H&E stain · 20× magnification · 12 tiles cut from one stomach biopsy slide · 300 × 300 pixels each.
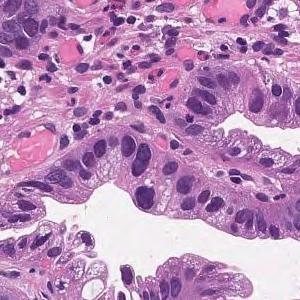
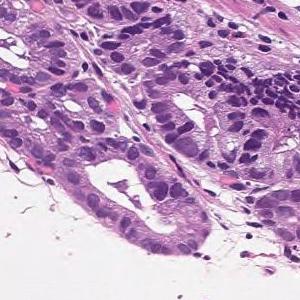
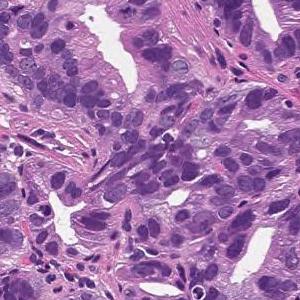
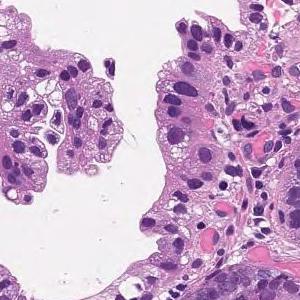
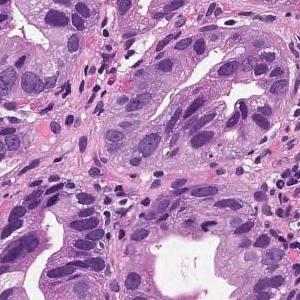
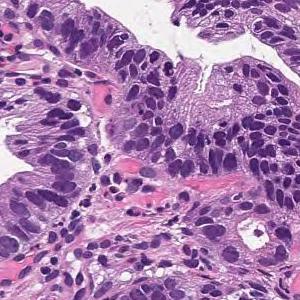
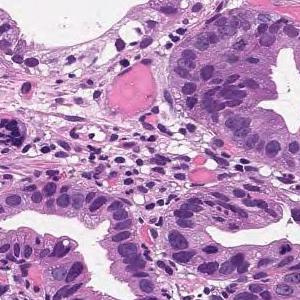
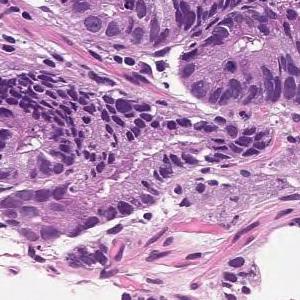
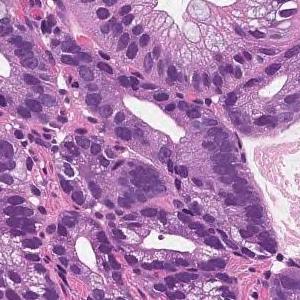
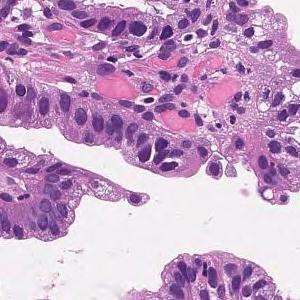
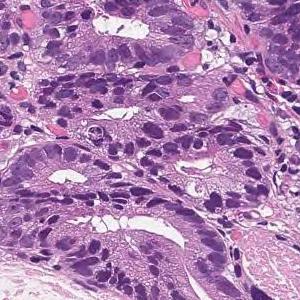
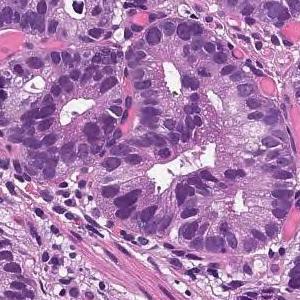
Pathology report for the biopsy slide these tiles were cut from. Both the report and the diagnosis are for the whole slide: these tiles need not show every feature named, and some of the tissue shown may not be tumor.
On the superficial epithelium, tumor tissue consisting of large irregular glandular ducts partially fused and infiltrated is observed. Well to moderately differentiated tubular adenocarcinoma (well differentiated tubular adenocarcinoma, moderately differentiated tubular adenocarcinoma)
Subtype: Well to moderately differentiated tubular adenocarcinoma.
